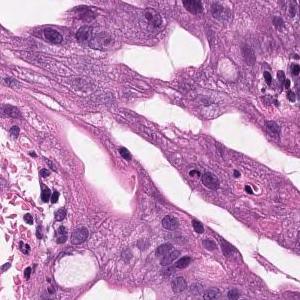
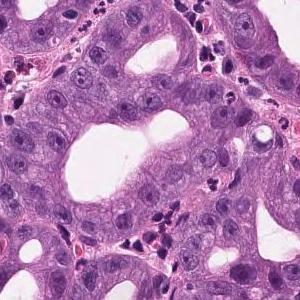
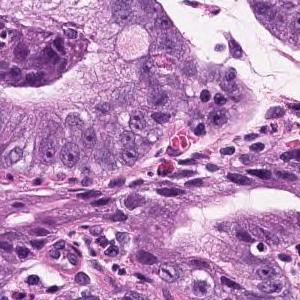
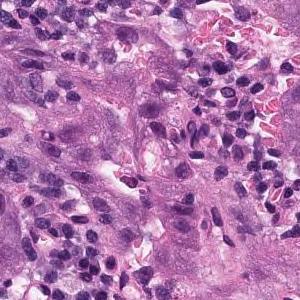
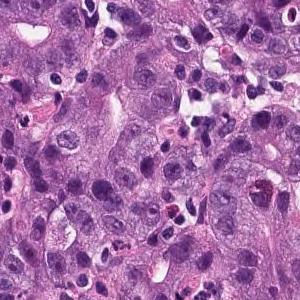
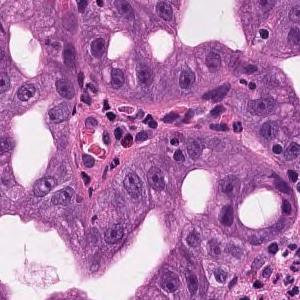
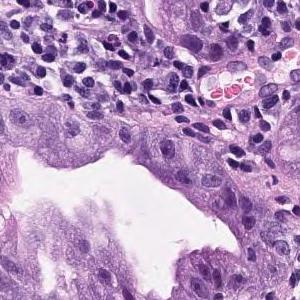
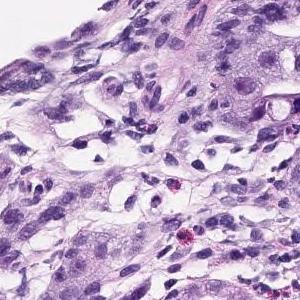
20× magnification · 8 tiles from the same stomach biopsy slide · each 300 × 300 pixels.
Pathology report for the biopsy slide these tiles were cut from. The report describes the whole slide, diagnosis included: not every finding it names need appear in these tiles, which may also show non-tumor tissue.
In the superficial epithelium, tumor tissue that invades by forming medium-sized to small, irregular ducts is observed. Well to moderately differentiated adenocarcinoma (well differentiated tubular adenocarcinoma, moderately differentiated tubular adenocarcinoma).
Classified as well to moderately differentiated tubular adenocarcinoma.
